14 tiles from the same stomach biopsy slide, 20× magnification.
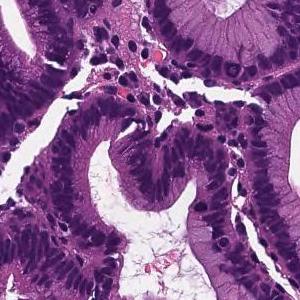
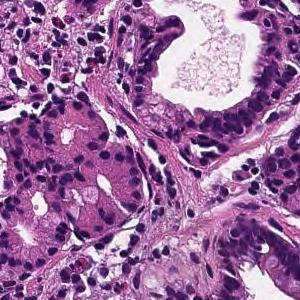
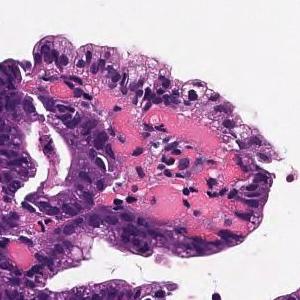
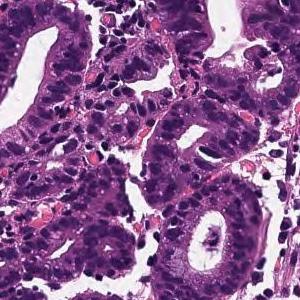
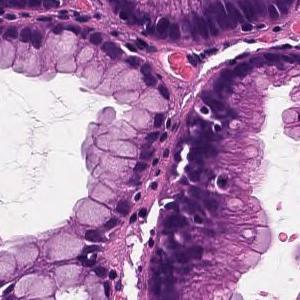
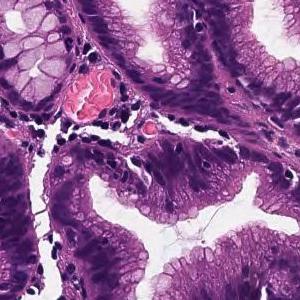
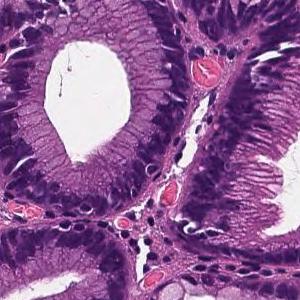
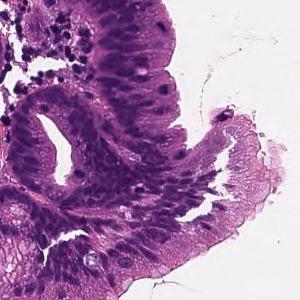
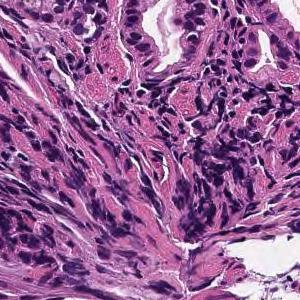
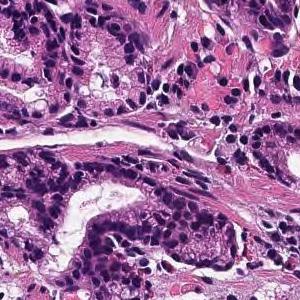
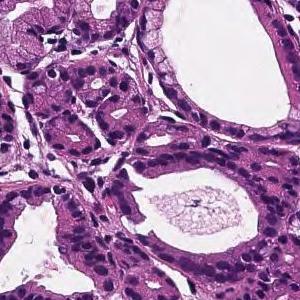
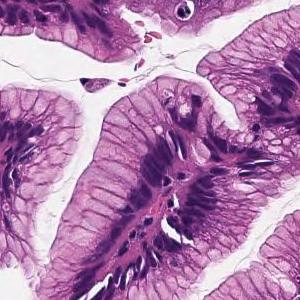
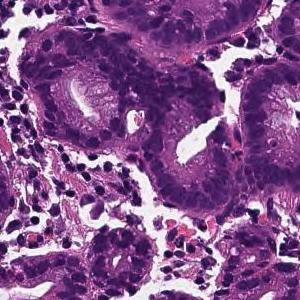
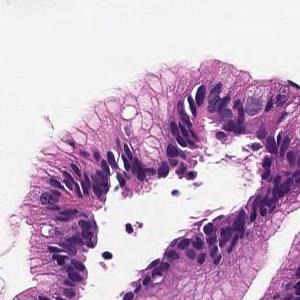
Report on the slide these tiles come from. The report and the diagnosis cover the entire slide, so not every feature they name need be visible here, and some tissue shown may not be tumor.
Cells with elliptical or atypical nuclei form dense ducts with relatively clear growth. Well differentiated tubular adenocarcinoma
